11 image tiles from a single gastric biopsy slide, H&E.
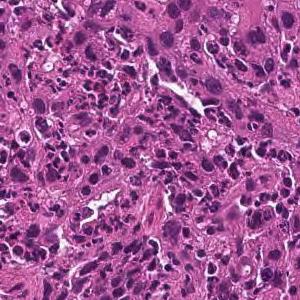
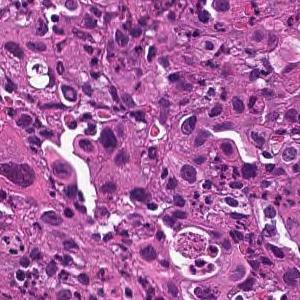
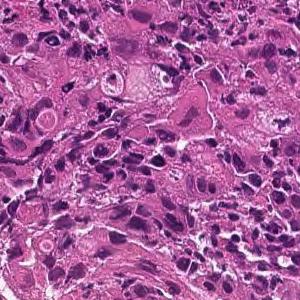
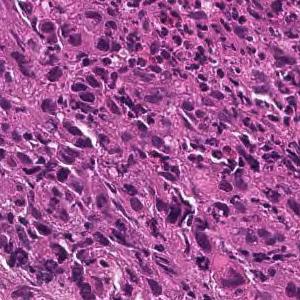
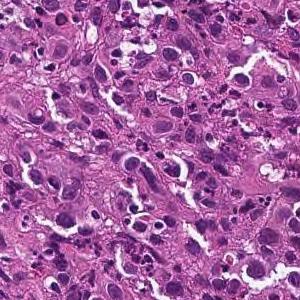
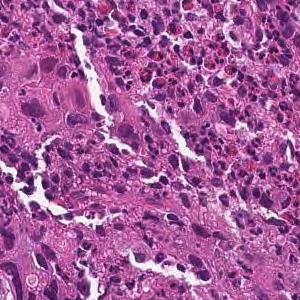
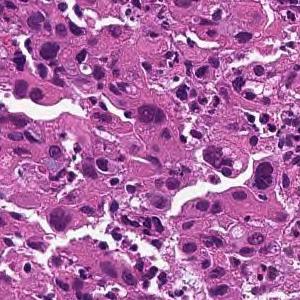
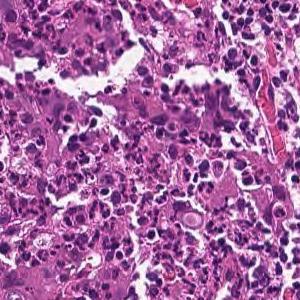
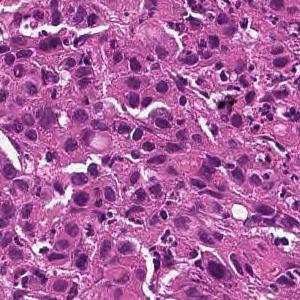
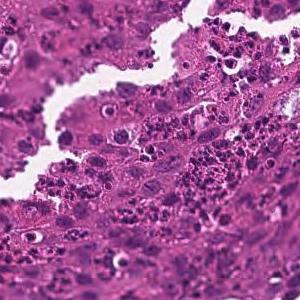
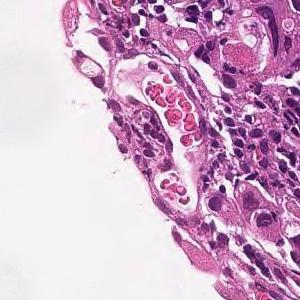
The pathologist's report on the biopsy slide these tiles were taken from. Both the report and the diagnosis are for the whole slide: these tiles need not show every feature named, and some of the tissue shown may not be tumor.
The superficial epithelium shows a large sheet-like shape, and some tumor tissue infiltrates with small irregular ducts. Poorly differentiated adenocarcinoma, solid-type
Subtype: Poorly differentiated adenocarcinoma, solid type (Japanese Classification of Gastric Carcinoma). The WHO 2019 equivalent is tubular adenocarcinoma, poorly differentiated.
